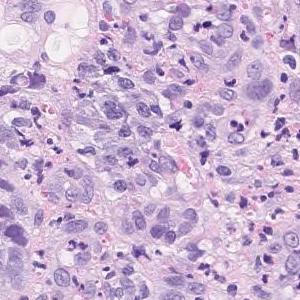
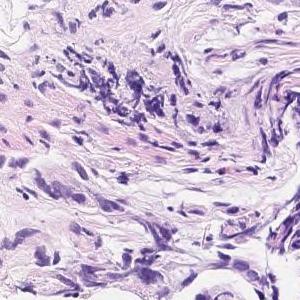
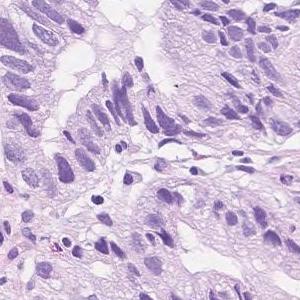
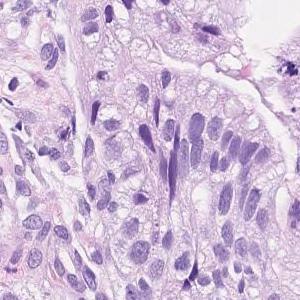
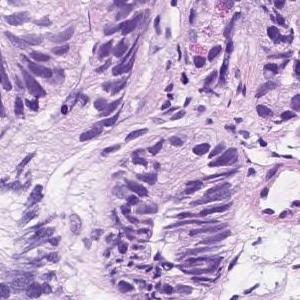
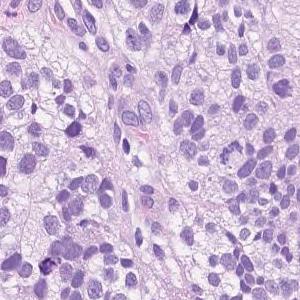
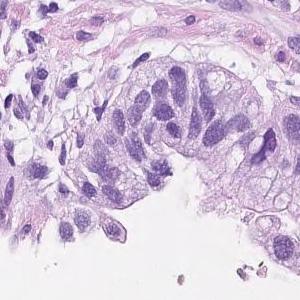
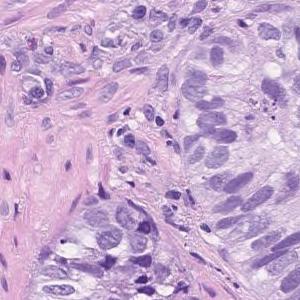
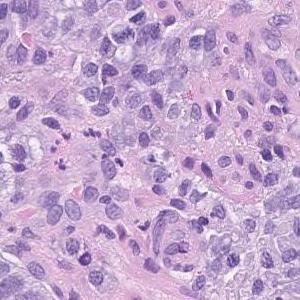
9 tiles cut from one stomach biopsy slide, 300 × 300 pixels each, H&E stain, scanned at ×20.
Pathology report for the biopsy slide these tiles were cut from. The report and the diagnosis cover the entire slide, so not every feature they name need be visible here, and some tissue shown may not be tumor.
Atypical l cells with atypical nuclei forming solid or diffuse vesicles or small irregular atypical ducts and growing in a complex manner. moderately differentiated tubular adenocarcinoma
